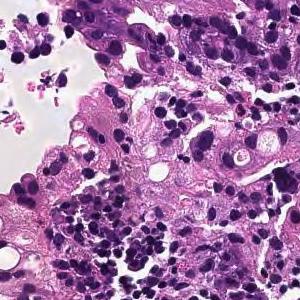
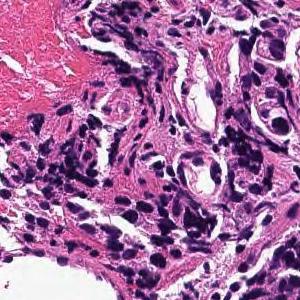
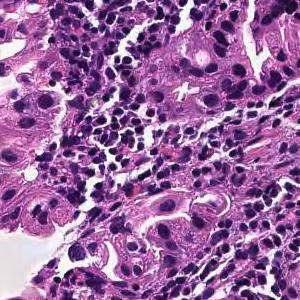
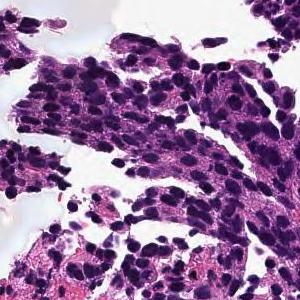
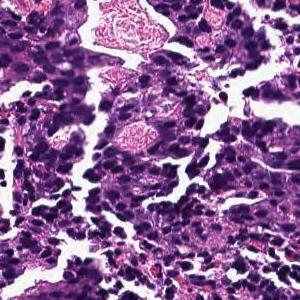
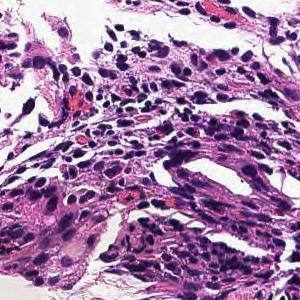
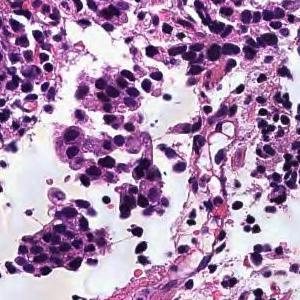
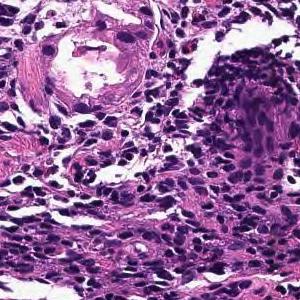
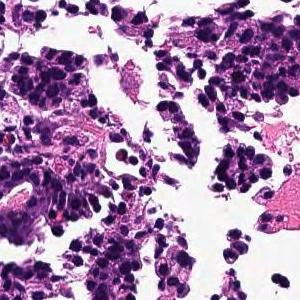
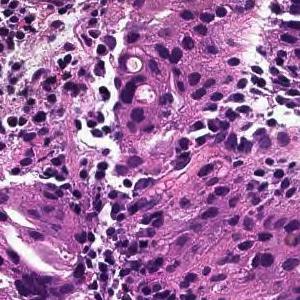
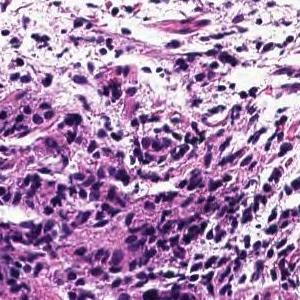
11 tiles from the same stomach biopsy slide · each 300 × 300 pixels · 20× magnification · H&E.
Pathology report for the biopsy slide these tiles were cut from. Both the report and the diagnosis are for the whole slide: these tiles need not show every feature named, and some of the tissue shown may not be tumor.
In the superficial epithelium, tumor tissue that invades by forming medium-sized to small, irregular ducts is observed. moderately differentiated tubular adenocarcinoma.
